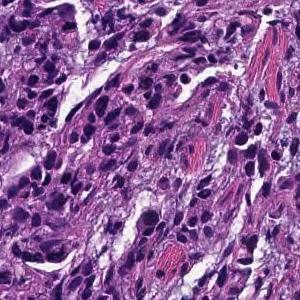
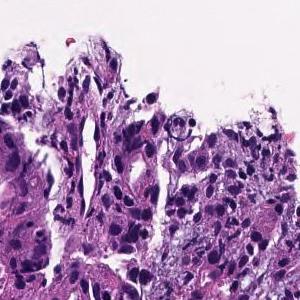
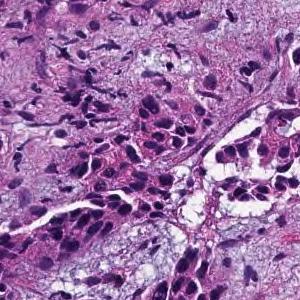
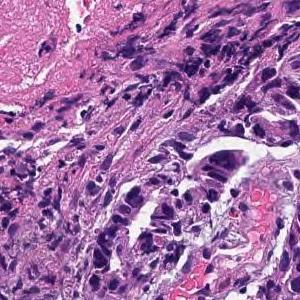
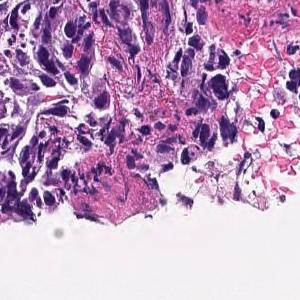
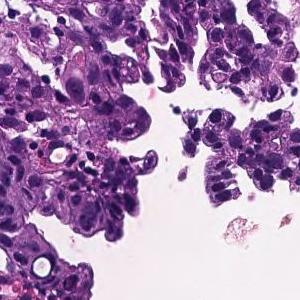
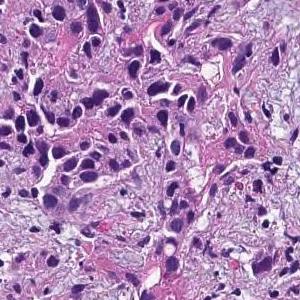
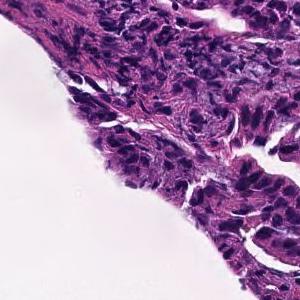
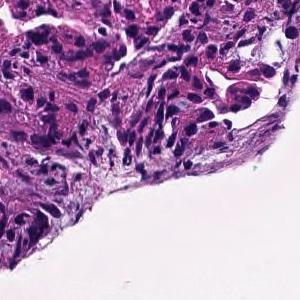
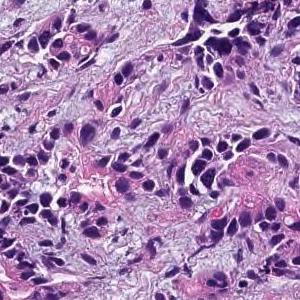
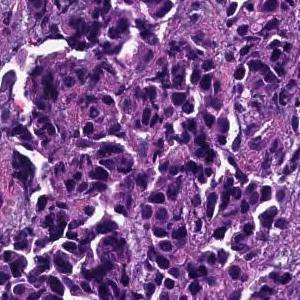
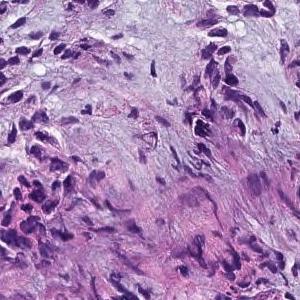
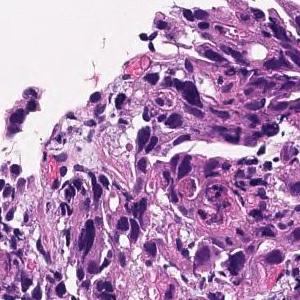
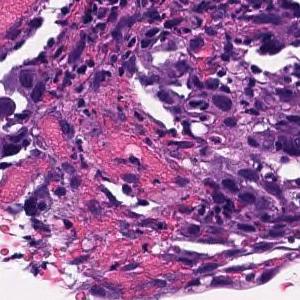
14 tiles cut from one stomach biopsy slide · 300 × 300 pixels each · scanned at ×20 · hematoxylin and eosin stain.
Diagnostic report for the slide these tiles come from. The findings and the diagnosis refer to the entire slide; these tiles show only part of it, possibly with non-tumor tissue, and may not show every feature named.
Tumor tissue consisting of cord-like or small, irregular glandular ducts fused and infiltrated is observed in the superficial epithelium. Poorly differentiated adenocarcinoma, non-solid type
The term "non-solid type" comes from the Japanese Classification of Gastric Carcinoma.
